20× magnification · H&E · 4 patches cut from one gastric biopsy slide · 300 × 300 pixels each.
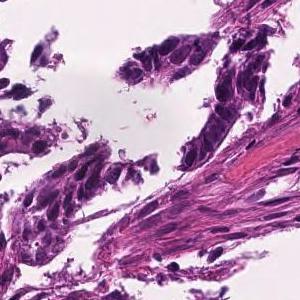
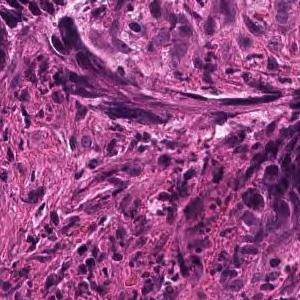
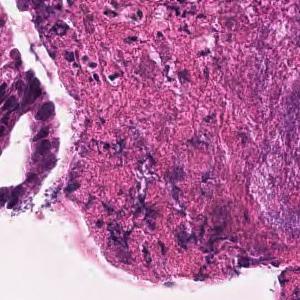
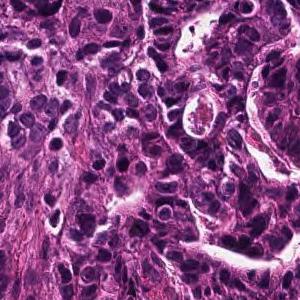
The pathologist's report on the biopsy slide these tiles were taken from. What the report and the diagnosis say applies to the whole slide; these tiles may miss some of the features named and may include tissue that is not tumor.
In the superficial epithelium, tumor tissue that invades by forming medium-sized to small, irregular ducts is observed. moderately differentiated tubular adenocarcinoma.
